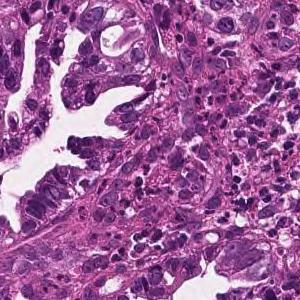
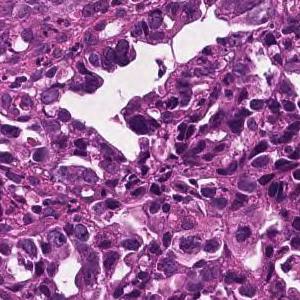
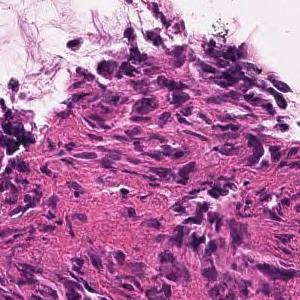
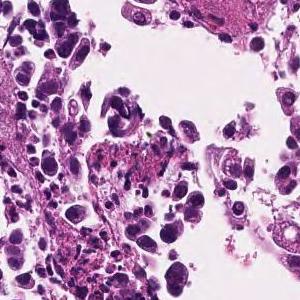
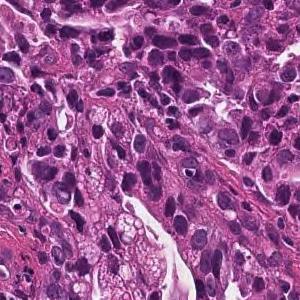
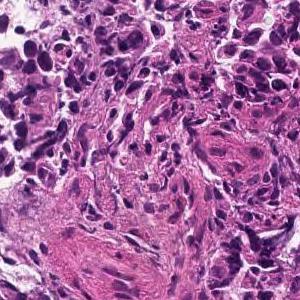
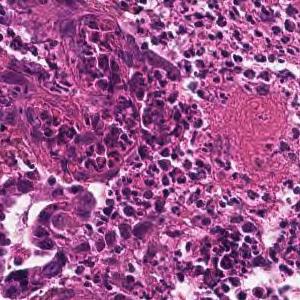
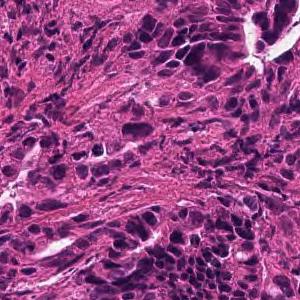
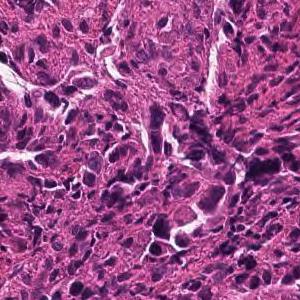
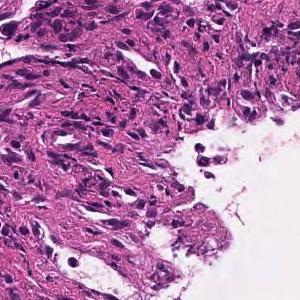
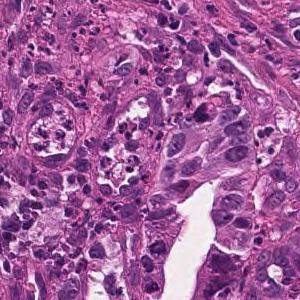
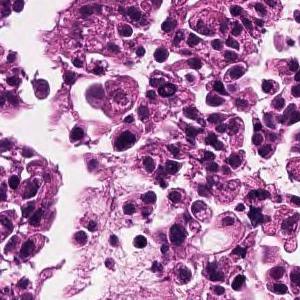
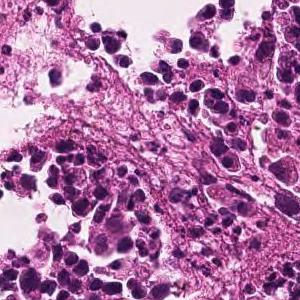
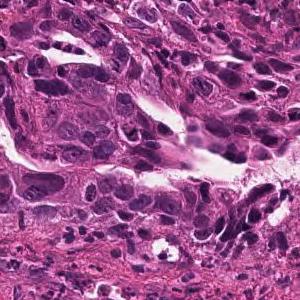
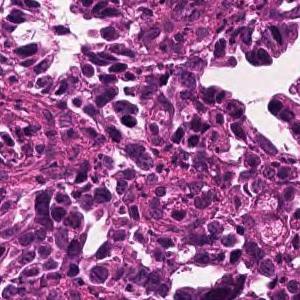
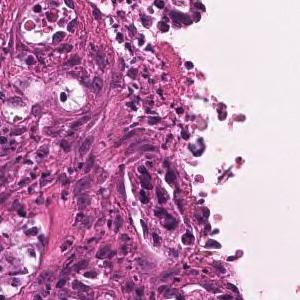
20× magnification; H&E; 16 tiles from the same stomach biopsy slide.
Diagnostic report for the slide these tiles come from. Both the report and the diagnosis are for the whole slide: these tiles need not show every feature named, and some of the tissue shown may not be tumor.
In the superficial epithelium, tumor tissue that invades by forming medium-sized to small, irregular ducts is observed. moderately differentiated tubular adenocarcinoma.
